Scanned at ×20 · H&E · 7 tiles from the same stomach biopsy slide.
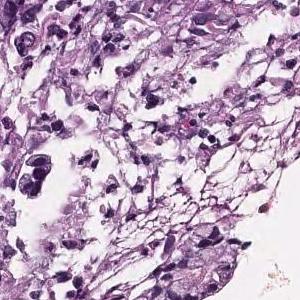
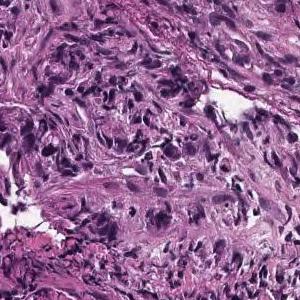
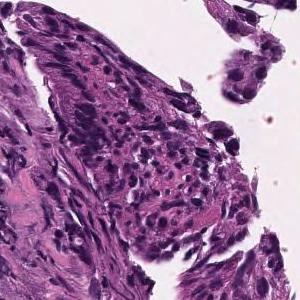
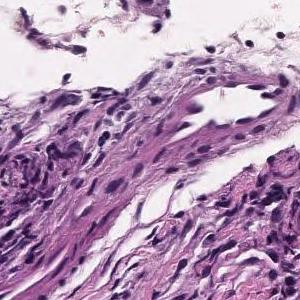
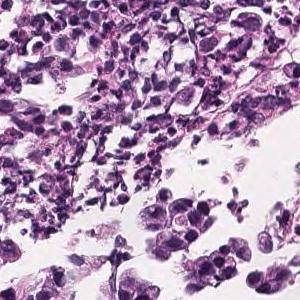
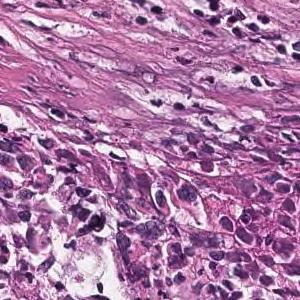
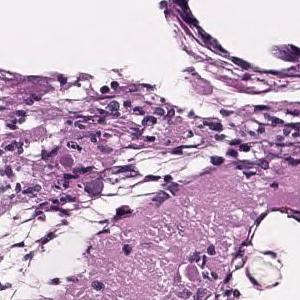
Pathology report for the slide these tiles were cut from. The findings and the diagnosis refer to the entire slide; these tiles show only part of it, possibly with non-tumor tissue, and may not show every feature named.
In the superficial epithelium, tumor tissue that invades by forming medium-sized to small, irregular ducts is observed. moderately differentiated tubular adenocarcinoma.
